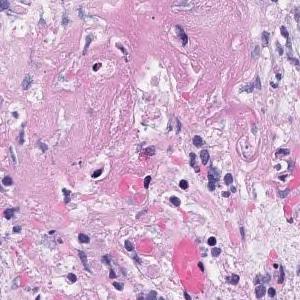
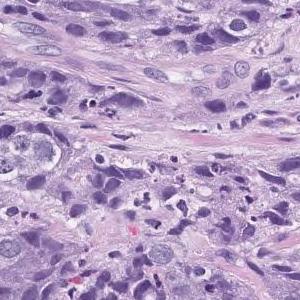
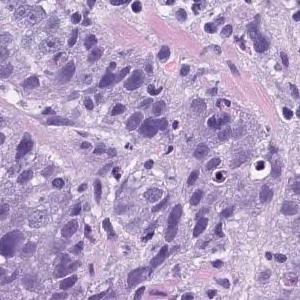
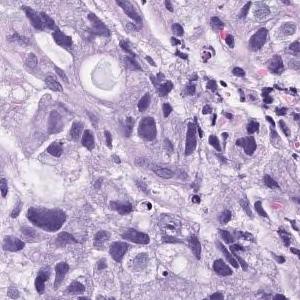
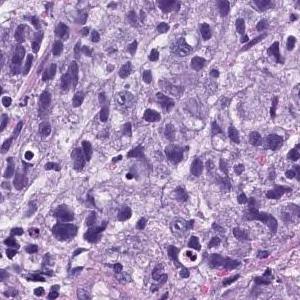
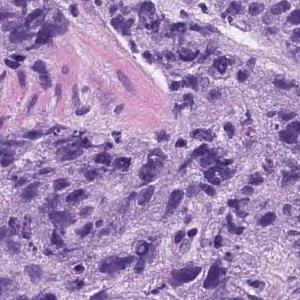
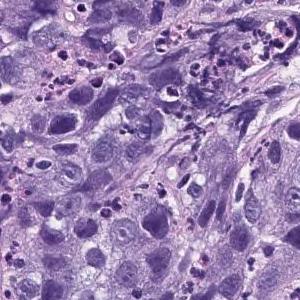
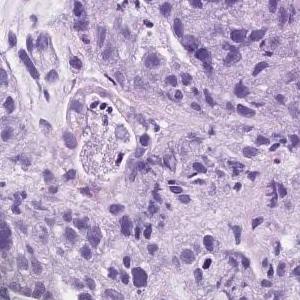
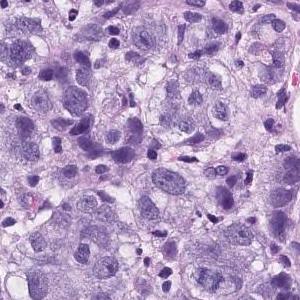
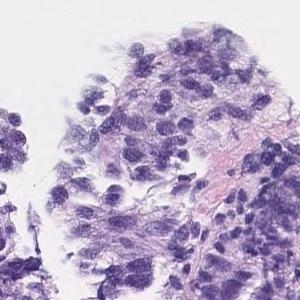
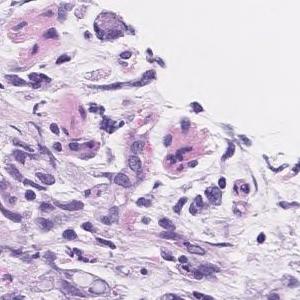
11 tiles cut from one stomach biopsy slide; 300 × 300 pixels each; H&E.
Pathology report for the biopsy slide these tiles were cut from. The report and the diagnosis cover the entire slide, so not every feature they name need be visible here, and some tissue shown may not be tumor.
Atypical l cells with atypical nuclei forming solid vesicles or small irregular atypical ducts that proliferate in a complex manner. poorly differentiated adenocarcinoma, solid type, moderately differentiated tubular adenocarcinoma
"Solid type" is a category of the Japanese Classification of Gastric Carcinoma; in the WHO 2019 classification it is tubular adenocarcinoma, poorly differentiated.
